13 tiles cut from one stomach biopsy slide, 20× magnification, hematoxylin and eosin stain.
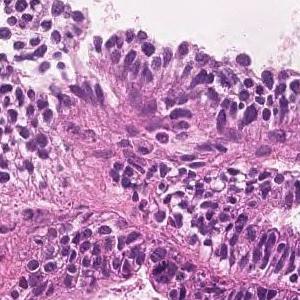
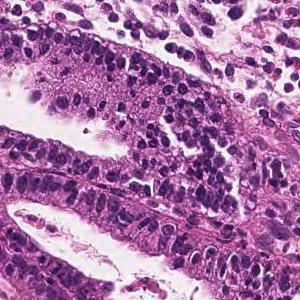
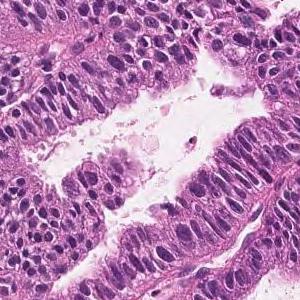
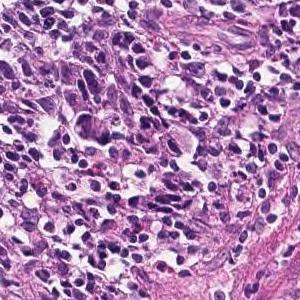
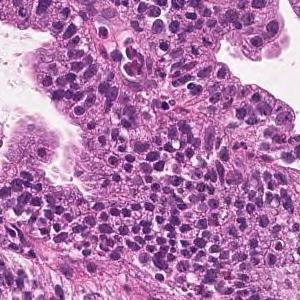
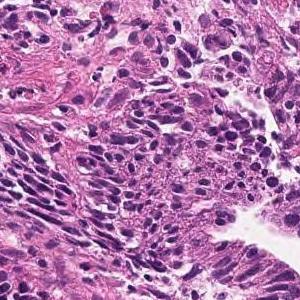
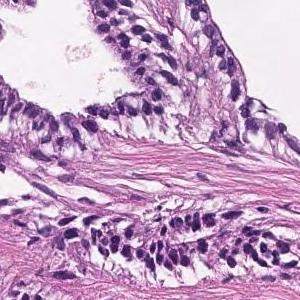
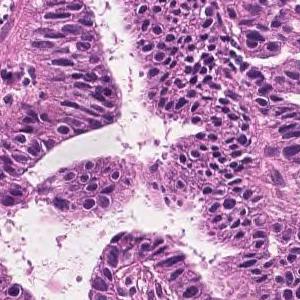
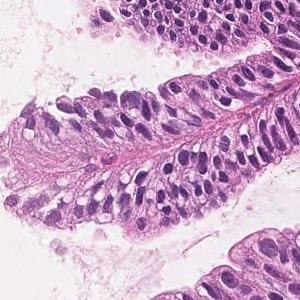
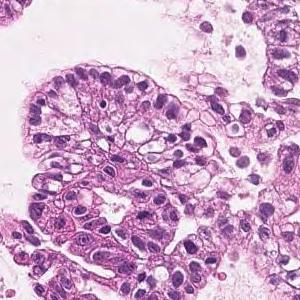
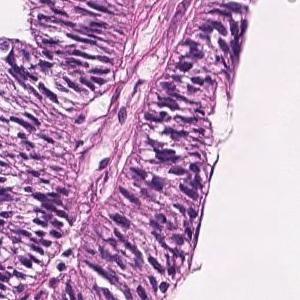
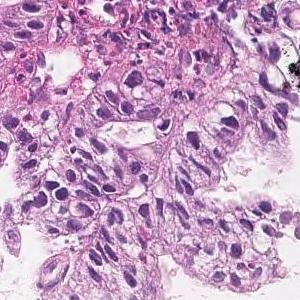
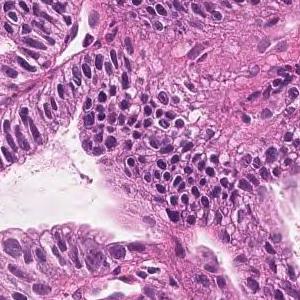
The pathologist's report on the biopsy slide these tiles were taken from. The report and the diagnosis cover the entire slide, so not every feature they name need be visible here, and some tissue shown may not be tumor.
Tumor cells are large, highly columnar, large club-shaped nuclei, and are associated with chromatin aggregation. Papillary adenocarcinoma.
